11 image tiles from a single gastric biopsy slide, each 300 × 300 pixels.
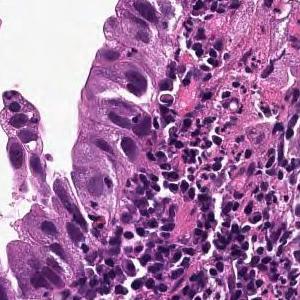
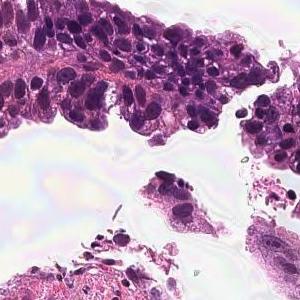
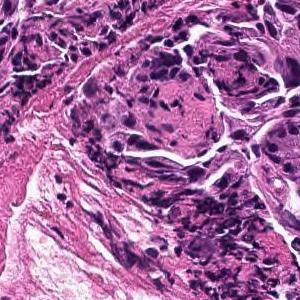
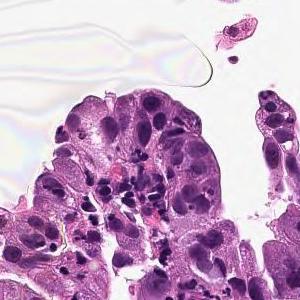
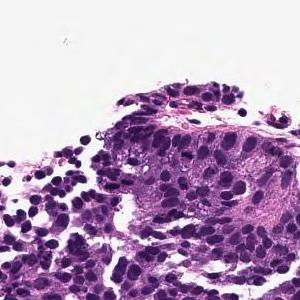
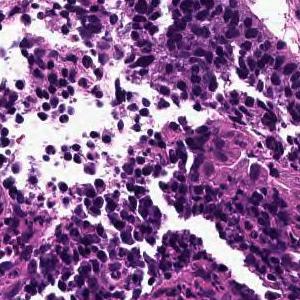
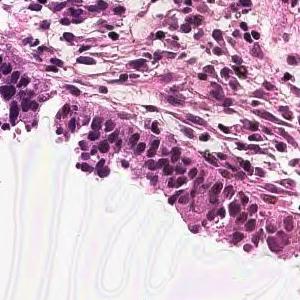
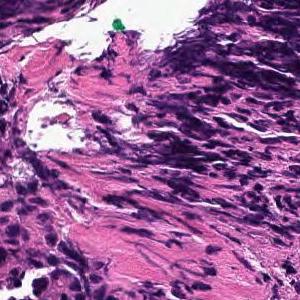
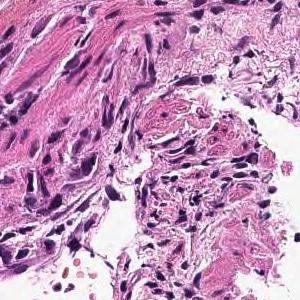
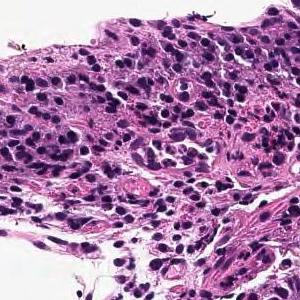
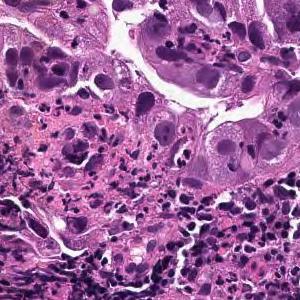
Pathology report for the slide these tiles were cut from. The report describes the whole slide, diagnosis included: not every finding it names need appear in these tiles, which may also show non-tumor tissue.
On the superficial epithelium, tumor tissue that infiltrates by forming medium-sized papillary or small irregular ducts is observed. Papillary adenocarcinoma
